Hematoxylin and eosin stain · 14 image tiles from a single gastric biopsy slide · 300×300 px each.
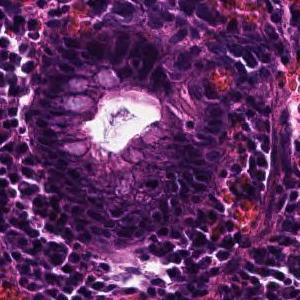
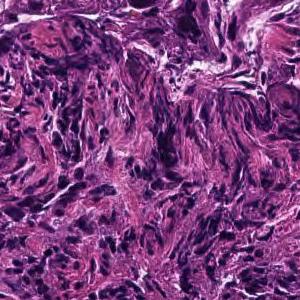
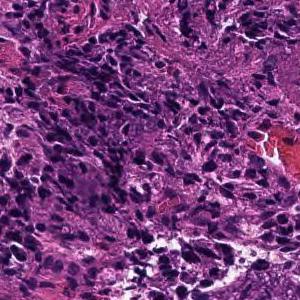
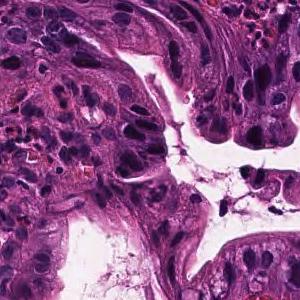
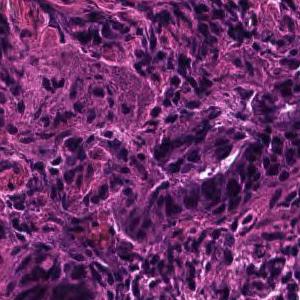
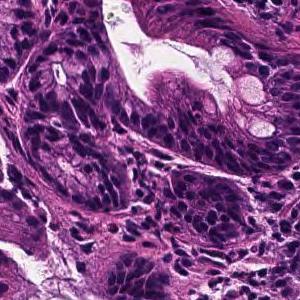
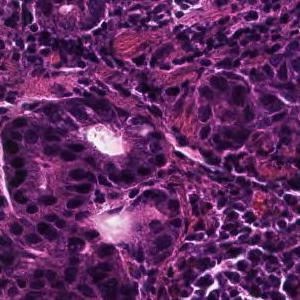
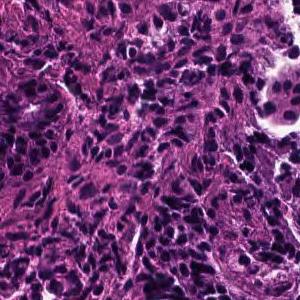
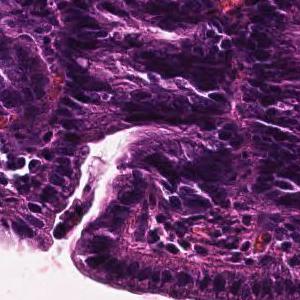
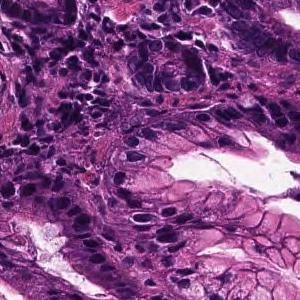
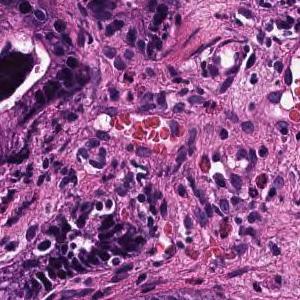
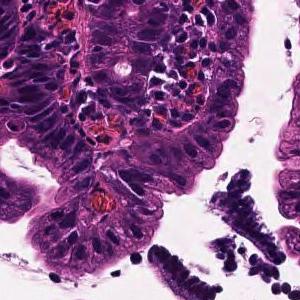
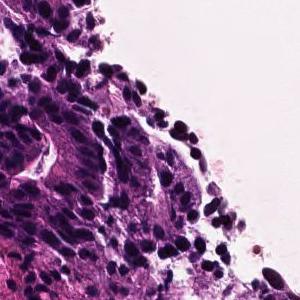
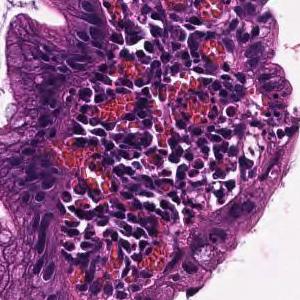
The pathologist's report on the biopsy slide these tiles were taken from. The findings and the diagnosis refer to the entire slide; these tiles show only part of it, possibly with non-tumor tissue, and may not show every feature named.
In the superficial epithelium, tumor tissue that invades by forming medium-sized to small, irregular ducts is observed. moderately differentiated tubular adenocarcinoma.
